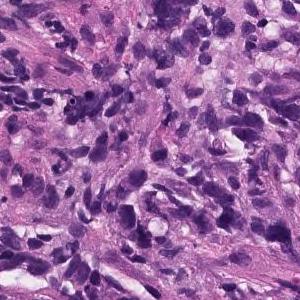
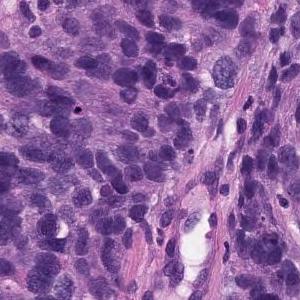
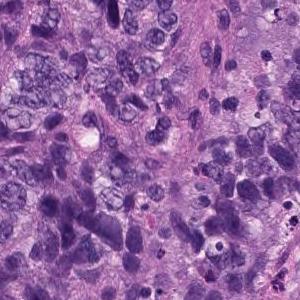
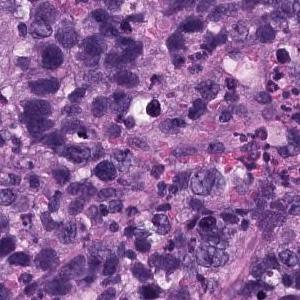
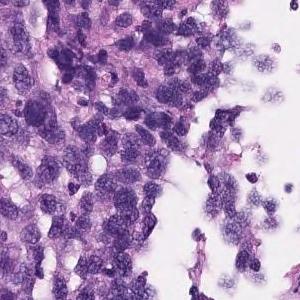
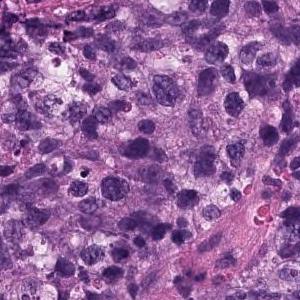
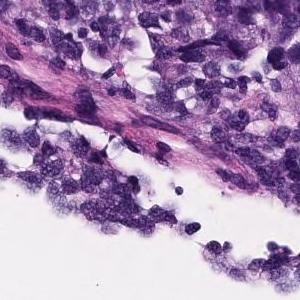
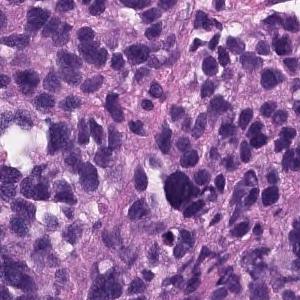
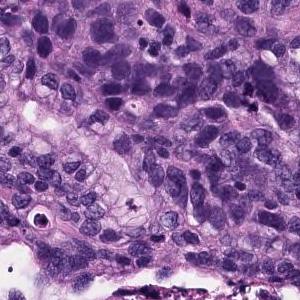
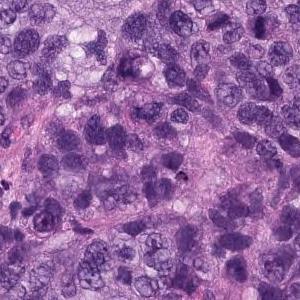
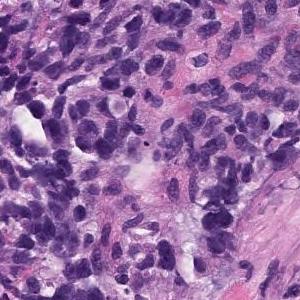
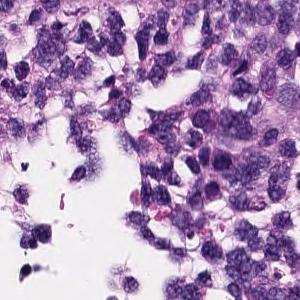
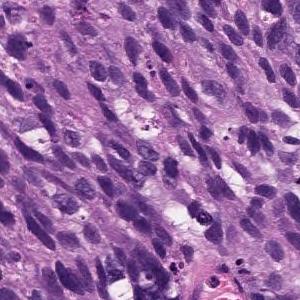
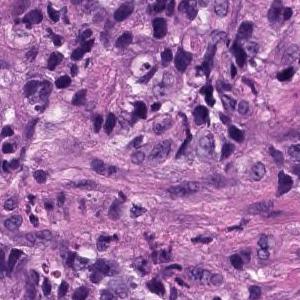
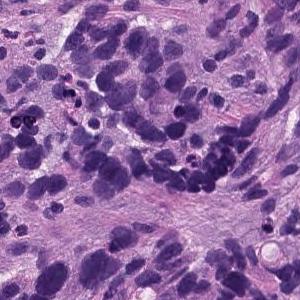
20× magnification · hematoxylin and eosin stain · 15 tiles from the same stomach biopsy slide · each 300 × 300 pixels.
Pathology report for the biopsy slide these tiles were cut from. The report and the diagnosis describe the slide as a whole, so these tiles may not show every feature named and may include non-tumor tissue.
Atypical l cells with atypical nuclei under the mucosa growing in isolation and scattered. Poorly differentiated adenocarcinoma (poorly differentiated adenocarcinoma, non-solid type)
Tumor subtype: poorly differentiated adenocarcinoma, non-solid type.
The non-solid type named here is a Japanese Classification of Gastric Carcinoma category.
